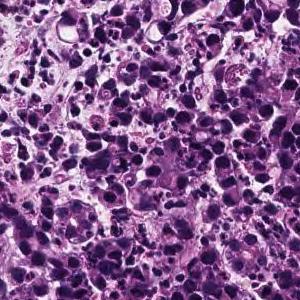
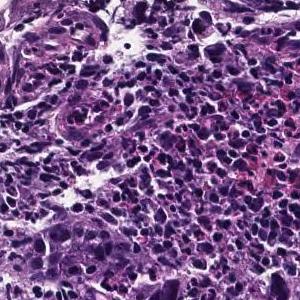
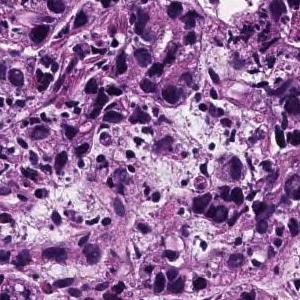
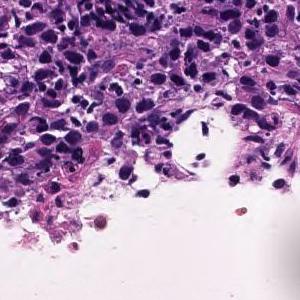
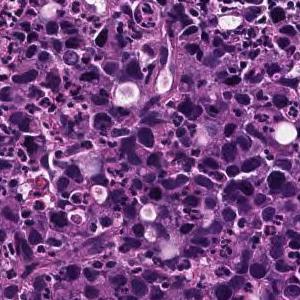
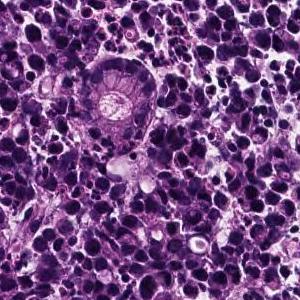
6 patches cut from one gastric biopsy slide; 300 × 300 pixels each; H&E stain.
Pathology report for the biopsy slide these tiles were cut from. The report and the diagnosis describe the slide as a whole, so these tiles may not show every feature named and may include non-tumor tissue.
The superficial epithelium shows a large sheet-like shape, and some tumor tissue infiltrates with small irregular ducts. Poorly differentiated adenocarcinoma, solid-type
Subtype: Poorly differentiated adenocarcinoma, solid type. This name comes from the Japanese Classification of Gastric Carcinoma; the WHO 2019 classification calls it tubular adenocarcinoma, poorly differentiated.
